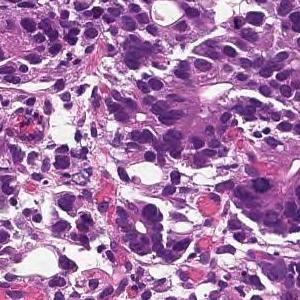
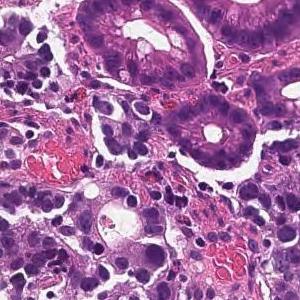
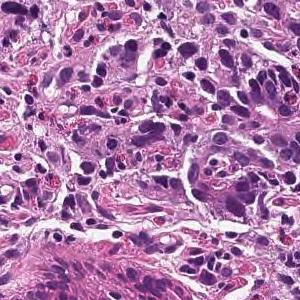
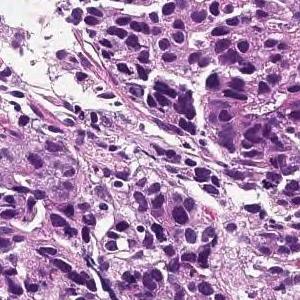
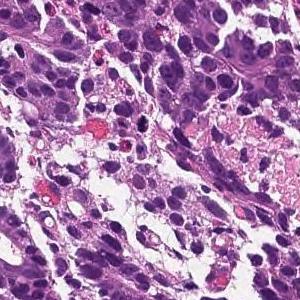
Hematoxylin and eosin stain, 5 image tiles from a single gastric biopsy slide, each 300 × 300 pixels.
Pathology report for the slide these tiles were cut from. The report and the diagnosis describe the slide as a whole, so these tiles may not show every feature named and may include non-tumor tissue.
On the superficial epithelium, tumor tissue is found in which medium-sized irregular gland ducts fuse with each other and infiltrate. moderately differentiated tubular adenocarcinoma
